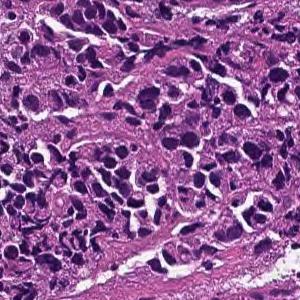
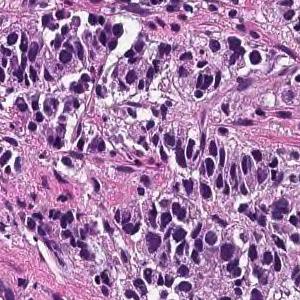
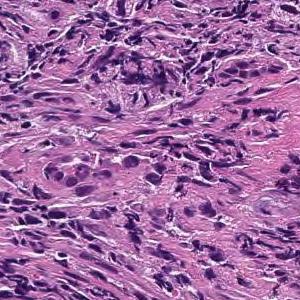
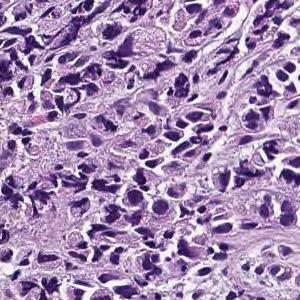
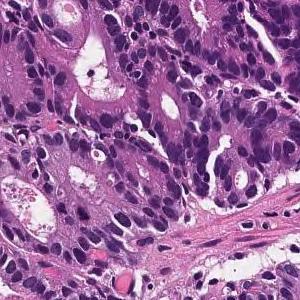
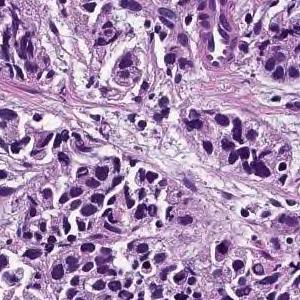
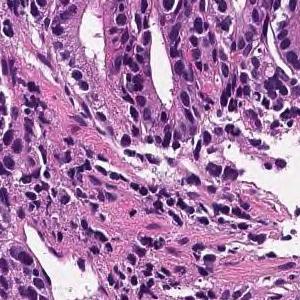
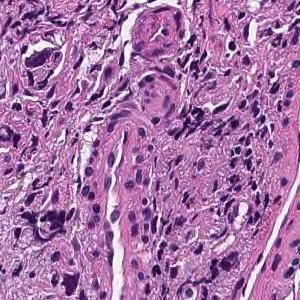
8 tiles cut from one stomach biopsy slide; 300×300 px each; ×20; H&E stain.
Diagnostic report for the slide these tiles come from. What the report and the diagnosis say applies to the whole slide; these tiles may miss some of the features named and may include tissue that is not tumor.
The lamina propria shows small cord-like tumor tissue that infiltrates with fibrosis and marked chronic inflammatory cell infiltration. Poorly differentiated adenocarcinoma, non-solid type
The non-solid type named here is a Japanese Classification of Gastric Carcinoma category.
